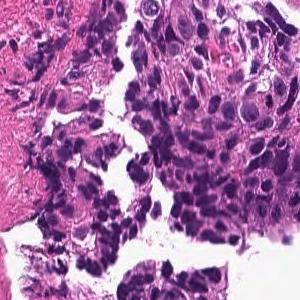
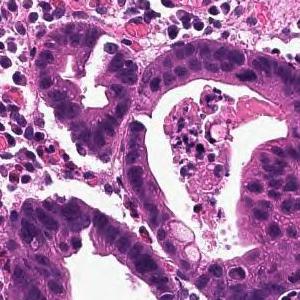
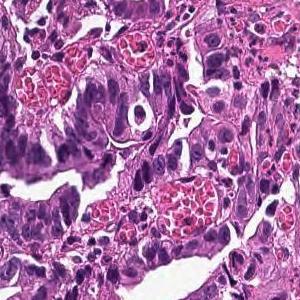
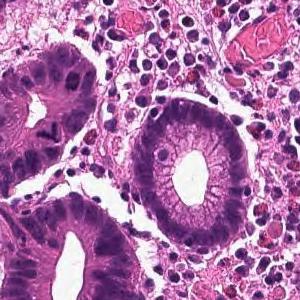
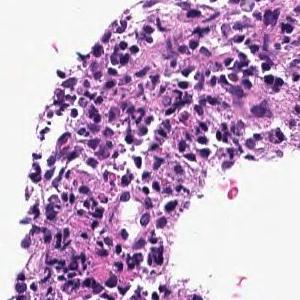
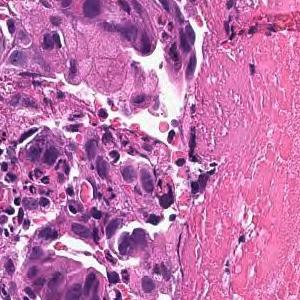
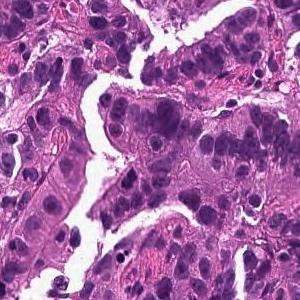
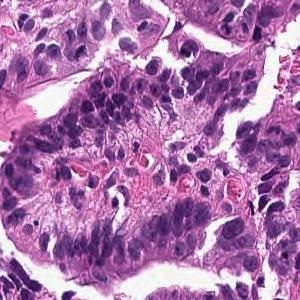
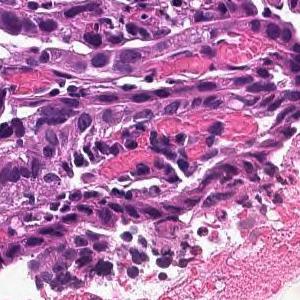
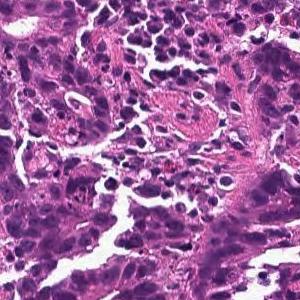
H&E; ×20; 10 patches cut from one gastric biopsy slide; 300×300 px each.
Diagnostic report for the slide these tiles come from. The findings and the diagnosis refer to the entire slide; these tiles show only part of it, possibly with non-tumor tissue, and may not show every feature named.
On the superficial epithelium, tumor tissue consisting of large, irregular glandular ducts partially fused and infiltrated is observed. Well to moderately differentiated tubular adenocarcinoma (well differentiated tubular adenocarcinoma, moderately differentiated tubular adenocarcinoma)
Classified as well to moderately differentiated tubular adenocarcinoma.
